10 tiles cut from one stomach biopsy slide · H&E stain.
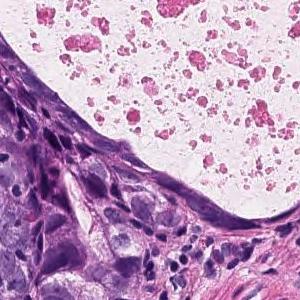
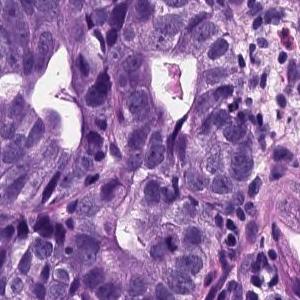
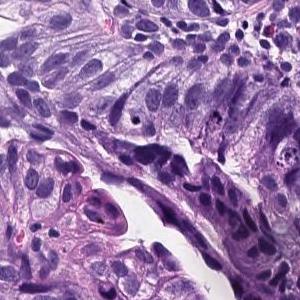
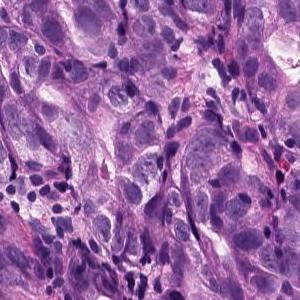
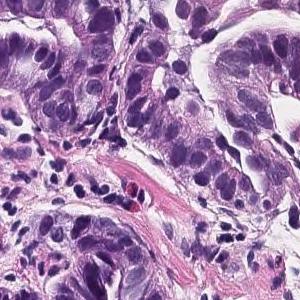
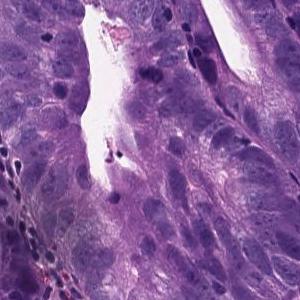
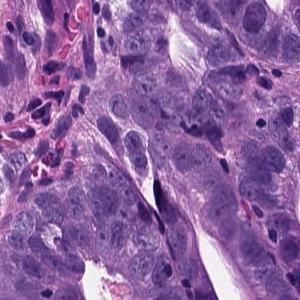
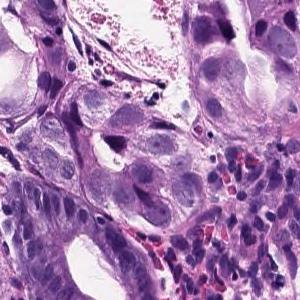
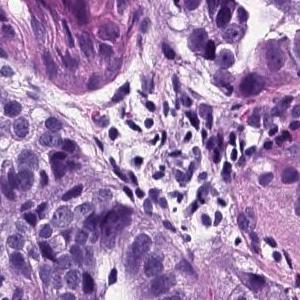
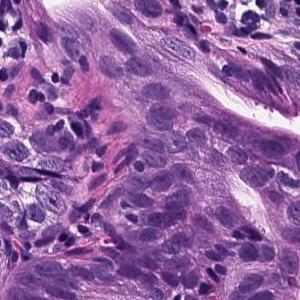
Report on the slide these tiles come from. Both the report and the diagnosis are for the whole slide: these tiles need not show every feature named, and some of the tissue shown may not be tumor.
Atypical epithelial cells infiltrating and proliferating while forming a glandular cavity is observed. moderately differentiated tubular adenocarcinoma
